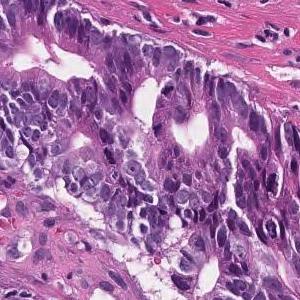
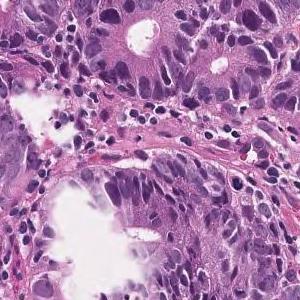
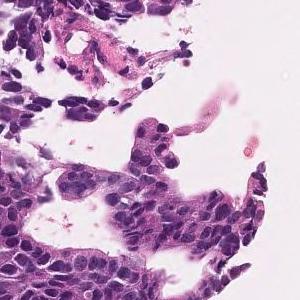
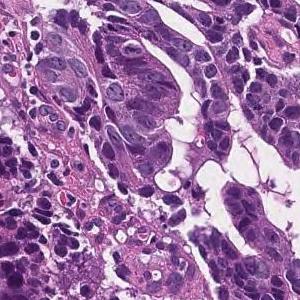
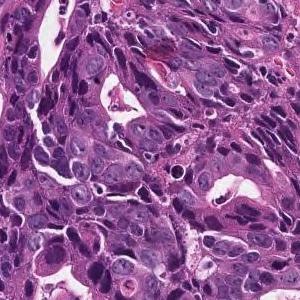
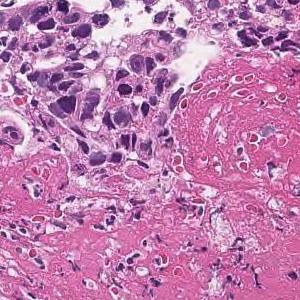
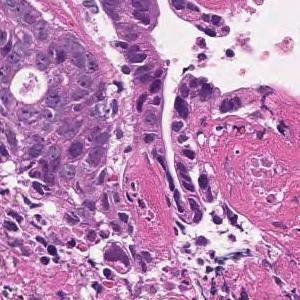
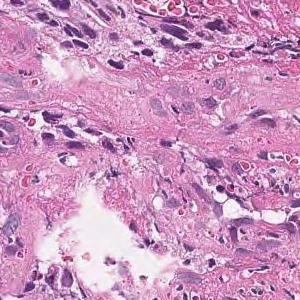
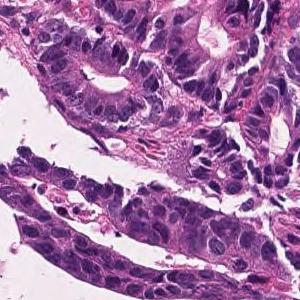
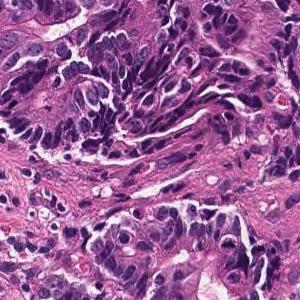
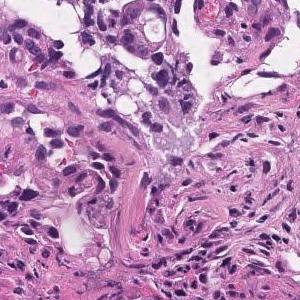
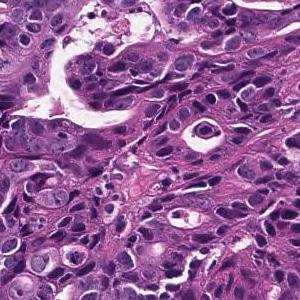
H&E; 12 tiles cut from one stomach biopsy slide.
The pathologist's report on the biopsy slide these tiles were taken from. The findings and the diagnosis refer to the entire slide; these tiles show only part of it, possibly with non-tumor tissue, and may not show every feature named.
In the superficial epithelium, tumor tissue that invades by forming medium-sized to small, irregular ducts is observed. moderately differentiated tubular adenocarcinoma.
